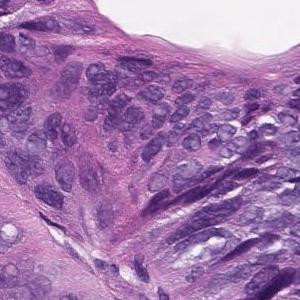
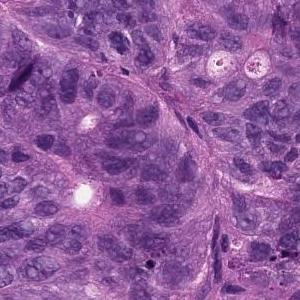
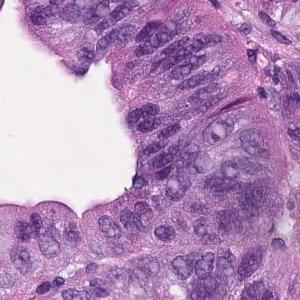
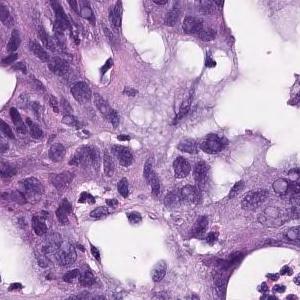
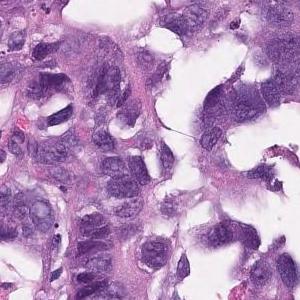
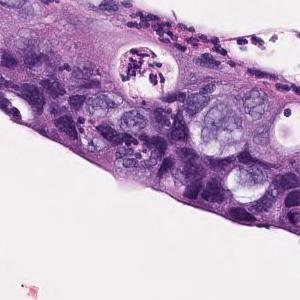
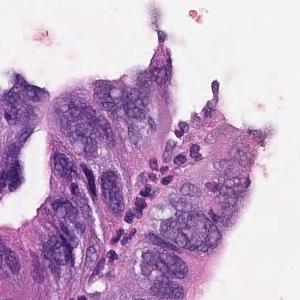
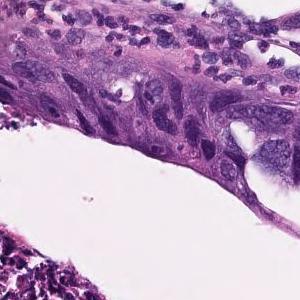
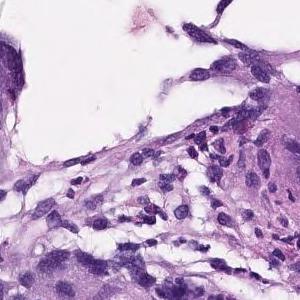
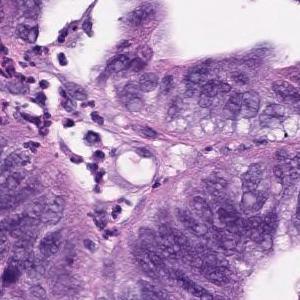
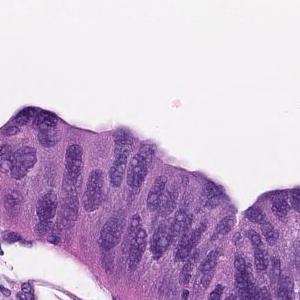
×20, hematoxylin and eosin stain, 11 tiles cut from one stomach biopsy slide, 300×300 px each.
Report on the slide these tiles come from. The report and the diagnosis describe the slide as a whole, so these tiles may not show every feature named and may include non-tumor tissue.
In the superficial epithelium, tumor tissue that invades by forming medium-sized to small, irregular ducts is observed. Moderately differentiated adenocarcinoma.
Histological subtype: Moderately differentiated tubular adenocarcinoma.
